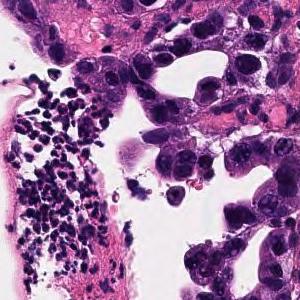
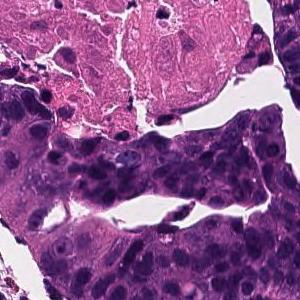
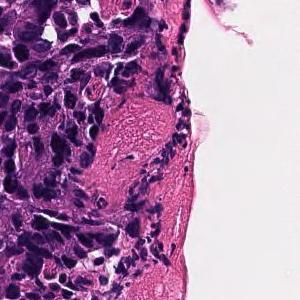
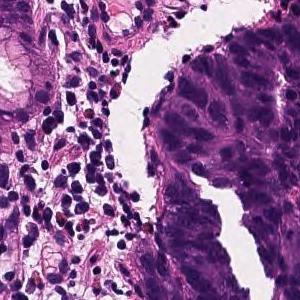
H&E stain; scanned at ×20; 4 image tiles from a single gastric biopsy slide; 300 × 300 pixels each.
The pathologist's report on the biopsy slide these tiles were taken from. Both the report and the diagnosis are for the whole slide: these tiles need not show every feature named, and some of the tissue shown may not be tumor.
In the superficial epithelium, tumor tissue that invades by forming medium-sized to small, irregular ducts is observed. moderately differentiated tubular adenocarcinoma.
